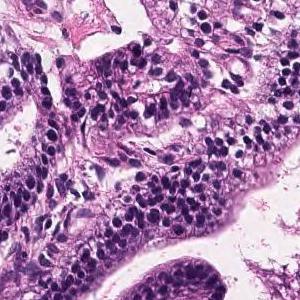
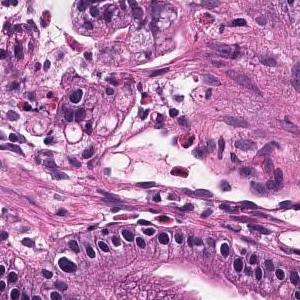
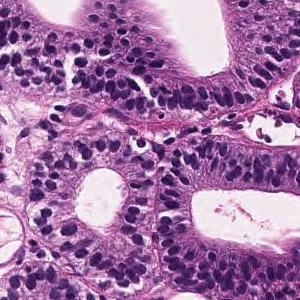
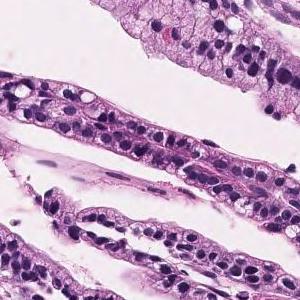
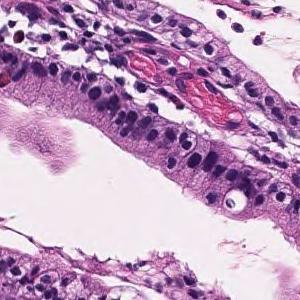
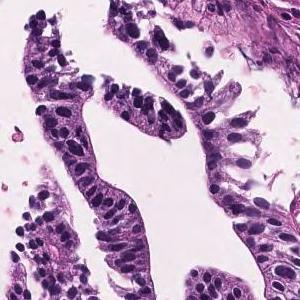
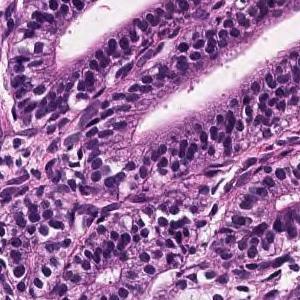
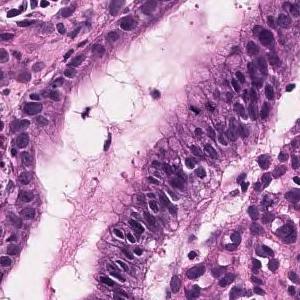
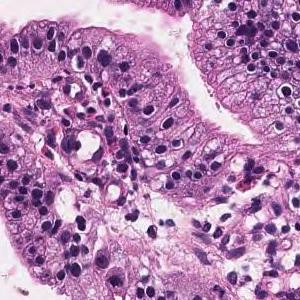
9 tiles cut from one stomach biopsy slide; H&E.
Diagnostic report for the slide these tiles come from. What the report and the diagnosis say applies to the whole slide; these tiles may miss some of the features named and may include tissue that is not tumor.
Tumor tissue consisting of large papillary structures or irregular glandular ducts partially fused and infiltrated is observed in the superficial epithelium. Well to moderately differentiated tubular adenocarcinoma.
Labeled in the dataset as moderately differentiated tubular adenocarcinoma.
